13 tiles from the same stomach biopsy slide; 20× magnification.
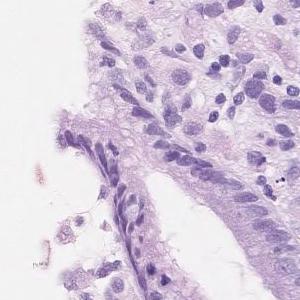
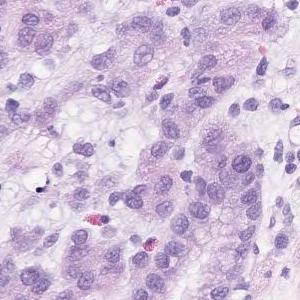
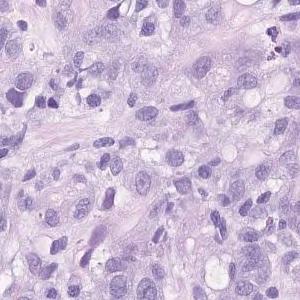
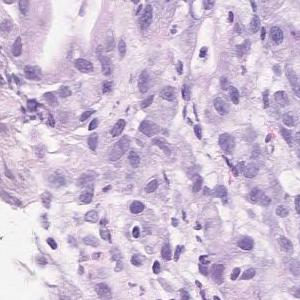
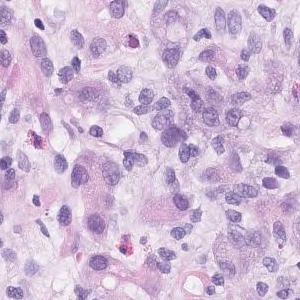
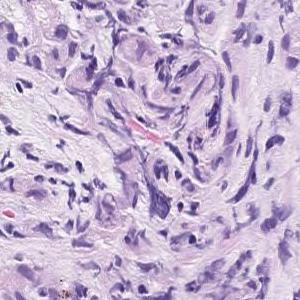
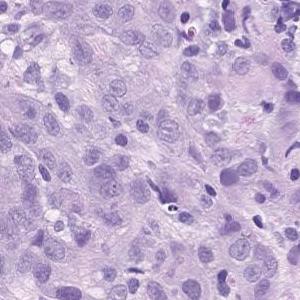
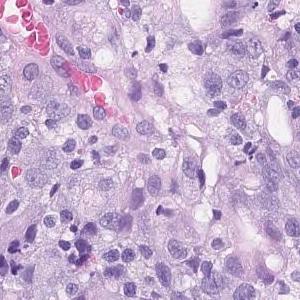
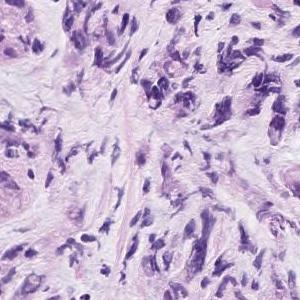
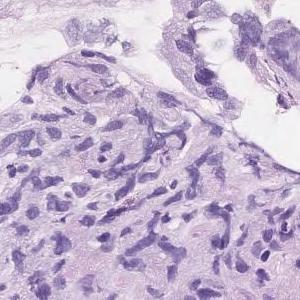
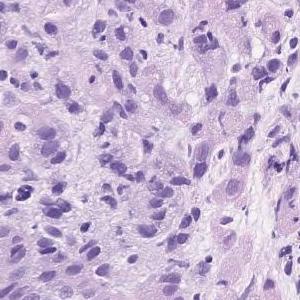
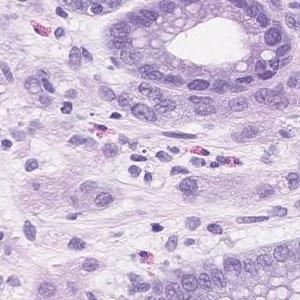
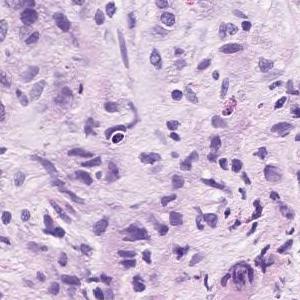
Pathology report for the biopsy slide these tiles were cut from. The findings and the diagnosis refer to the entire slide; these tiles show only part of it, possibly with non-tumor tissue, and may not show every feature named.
Group 5, Adenocarcinoma. Poorly differentiated adenocarcinoma, non-solid type
"Non-solid type" is a category of the Japanese Classification of Gastric Carcinoma.
